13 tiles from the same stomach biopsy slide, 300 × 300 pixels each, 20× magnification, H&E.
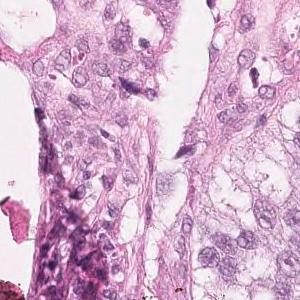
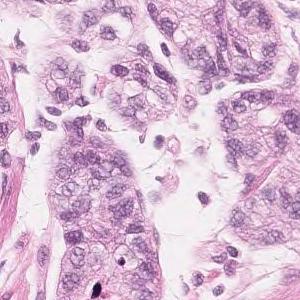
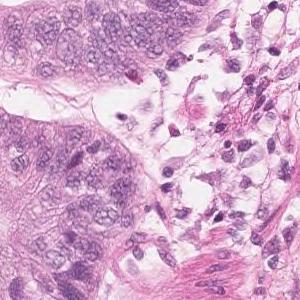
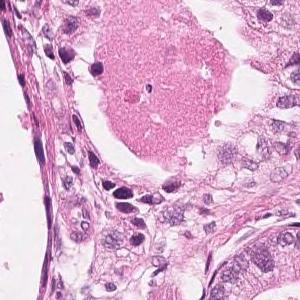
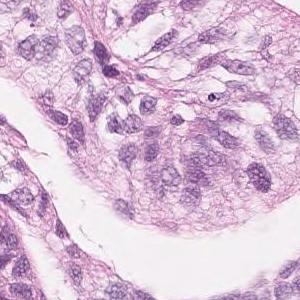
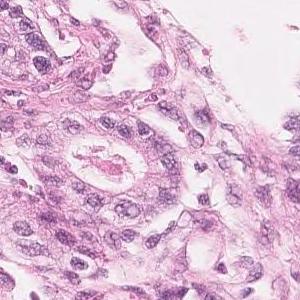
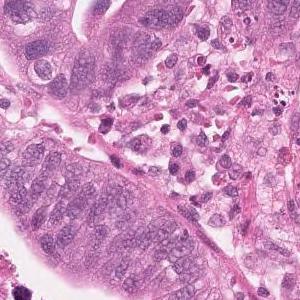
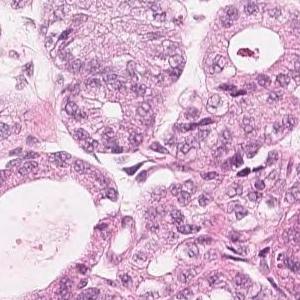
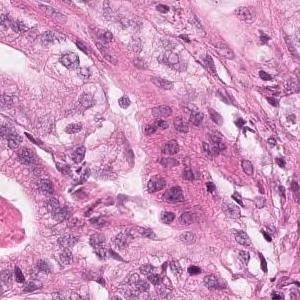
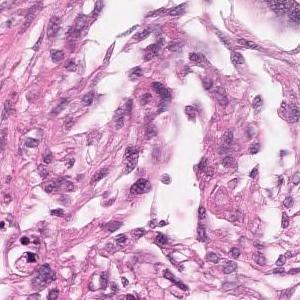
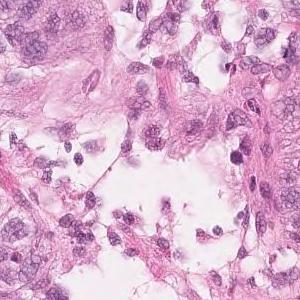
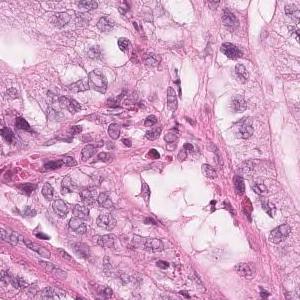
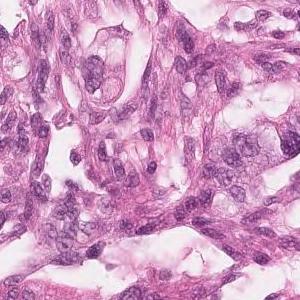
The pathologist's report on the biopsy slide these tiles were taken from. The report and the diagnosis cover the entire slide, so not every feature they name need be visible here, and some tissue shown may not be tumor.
Highly columnar epithelium with disordered nuclear localization proliferates showing fusion ductal construction. moderately differentiated tubular adenocarcinoma
